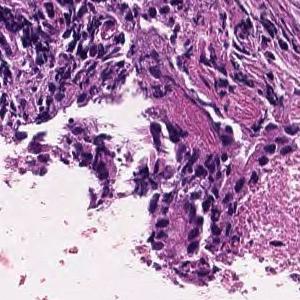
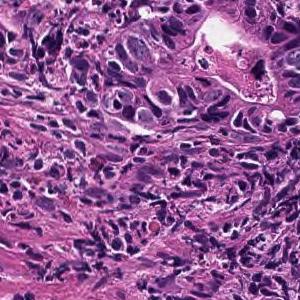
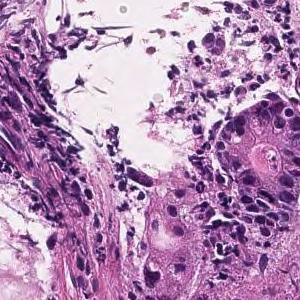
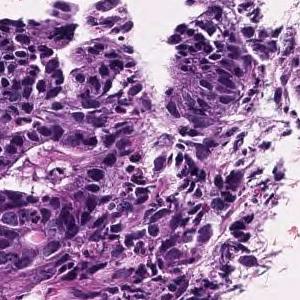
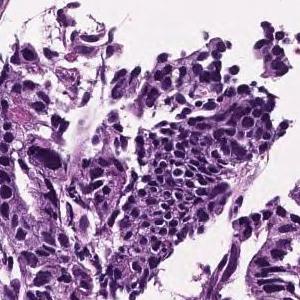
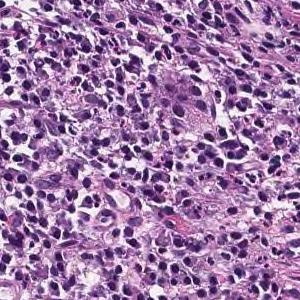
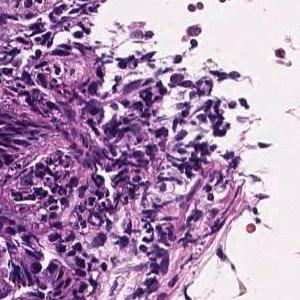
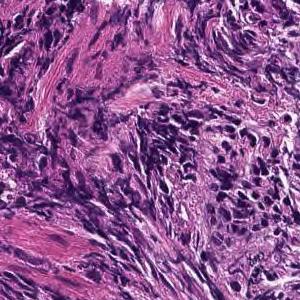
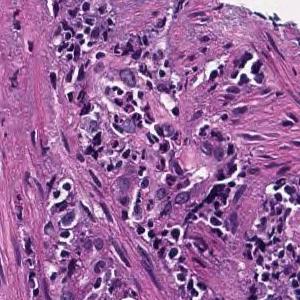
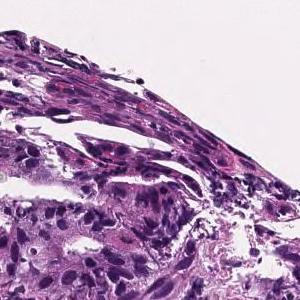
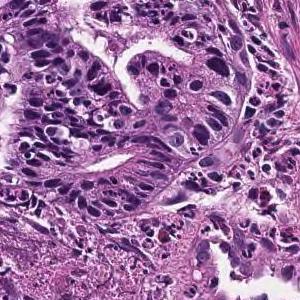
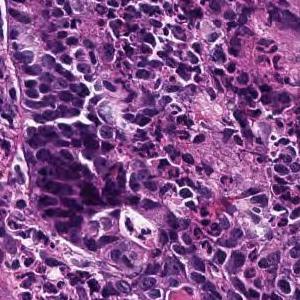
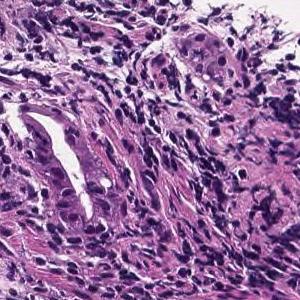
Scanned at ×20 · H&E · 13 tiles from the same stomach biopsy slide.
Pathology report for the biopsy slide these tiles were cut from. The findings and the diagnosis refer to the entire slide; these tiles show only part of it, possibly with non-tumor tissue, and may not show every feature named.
On the superficial epithelium, tumor tissue consisting of large, irregular glandular ducts partially fused and infiltrated is observed. Well to moderately differentiated tubular adenocarcinoma (well differentiated tubular adenocarcinoma, moderately differentiated tubular adenocarcinoma)
Classified as well to moderately differentiated tubular adenocarcinoma.
